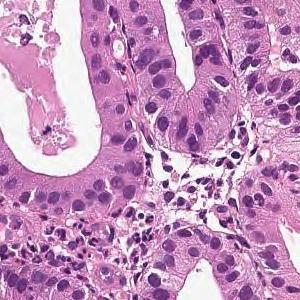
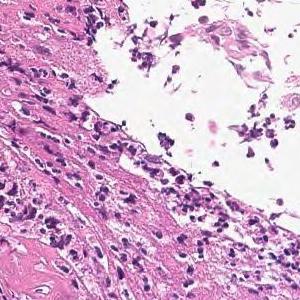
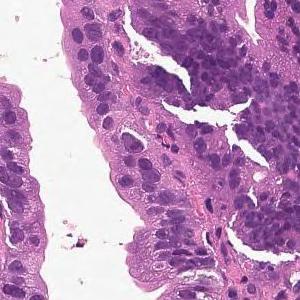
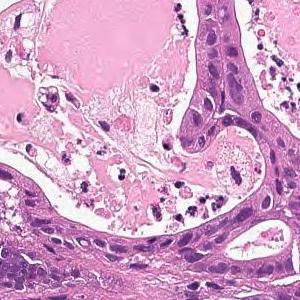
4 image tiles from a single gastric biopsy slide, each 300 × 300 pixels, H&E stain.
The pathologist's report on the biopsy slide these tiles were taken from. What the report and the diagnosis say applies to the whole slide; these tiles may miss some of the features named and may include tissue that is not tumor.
From the superficial epithelium to the muscularis mucosae, tumor tissue consisting of medium-sized and irregular glandular ducts infiltrating is observed. Well differentiated tubular adenocarcinoma
